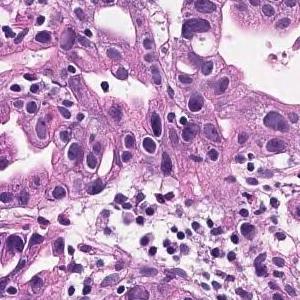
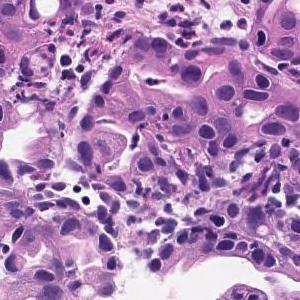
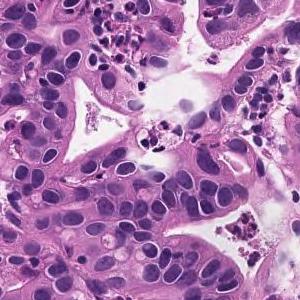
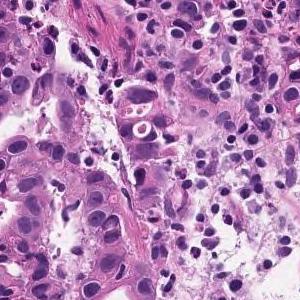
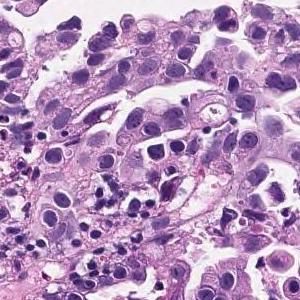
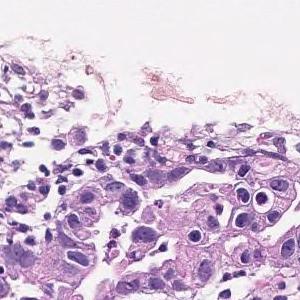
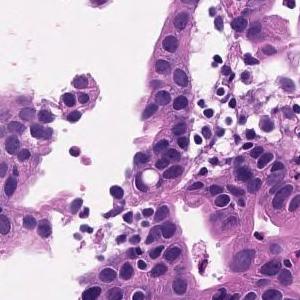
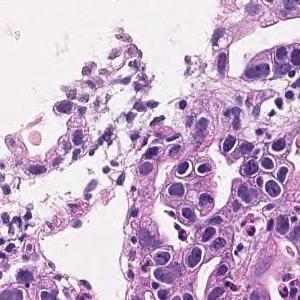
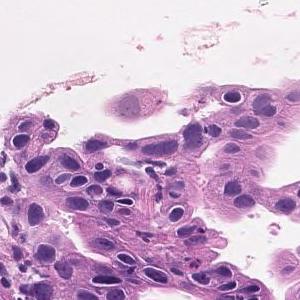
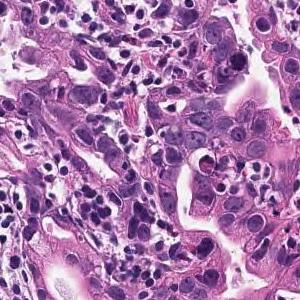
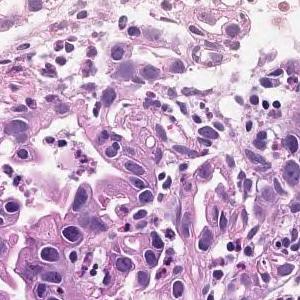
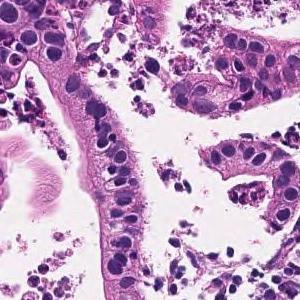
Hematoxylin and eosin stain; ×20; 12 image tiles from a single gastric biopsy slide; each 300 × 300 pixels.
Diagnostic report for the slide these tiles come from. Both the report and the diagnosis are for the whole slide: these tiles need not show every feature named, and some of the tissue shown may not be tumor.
In the superficial epithelium, tumor tissue that invades by forming medium-sized to small, irregular ducts is observed. moderately differentiated tubular adenocarcinoma.
